H&E, 20× magnification, 15 tiles from the same stomach biopsy slide.
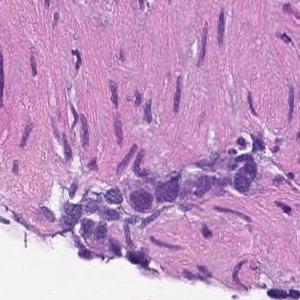
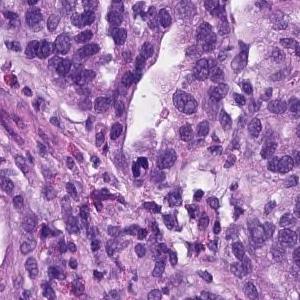
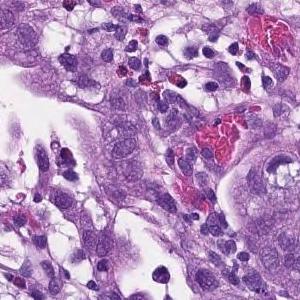
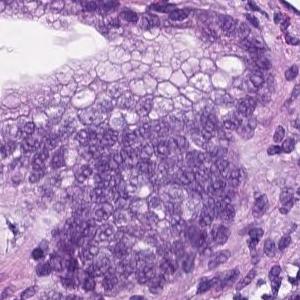
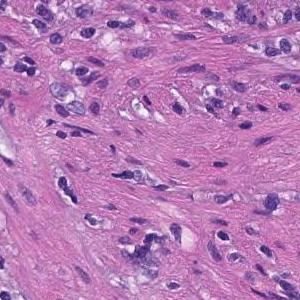
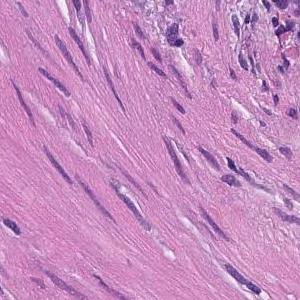
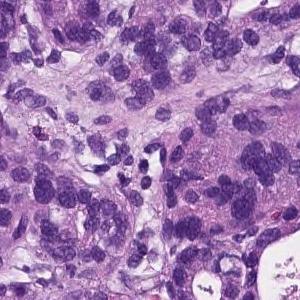
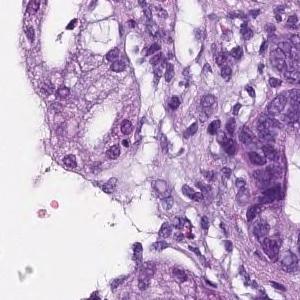
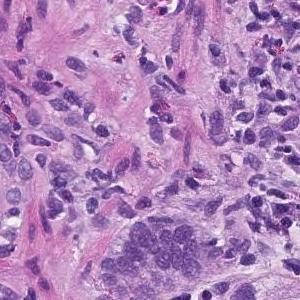
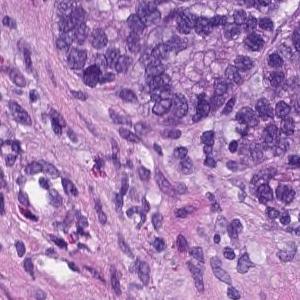
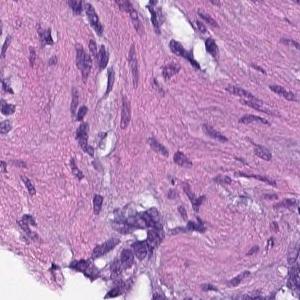
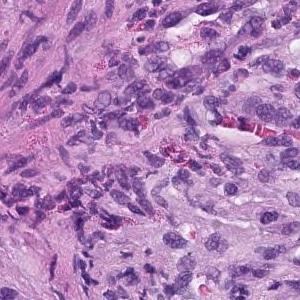
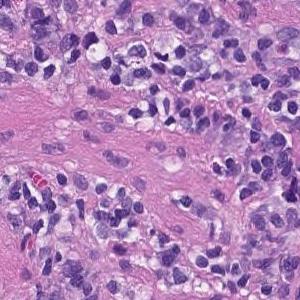
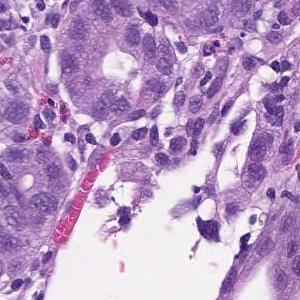
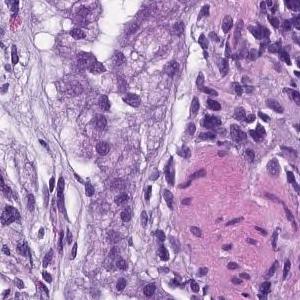
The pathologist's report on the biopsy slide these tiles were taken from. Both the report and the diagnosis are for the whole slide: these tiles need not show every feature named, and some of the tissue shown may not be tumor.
From the superficial epithelium to the muscularis mucosae, tumor tissue consisting of medium-sized and irregular glandular ducts infiltrating is observed. Well differentiated tubular adenocarcinoma
